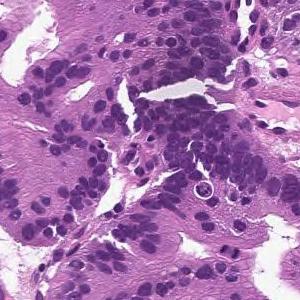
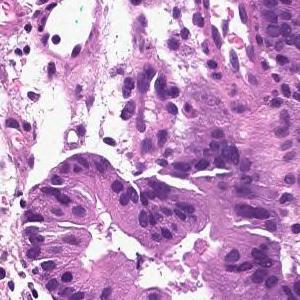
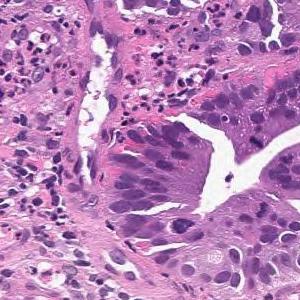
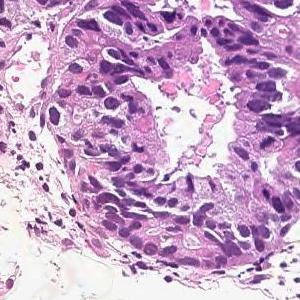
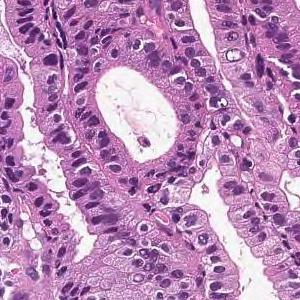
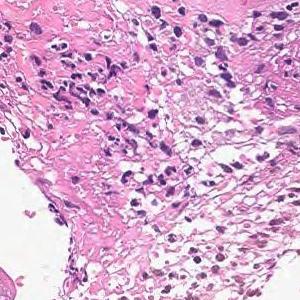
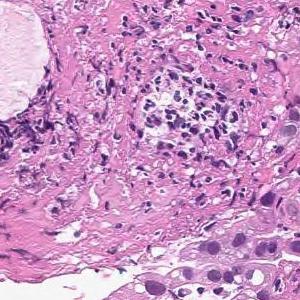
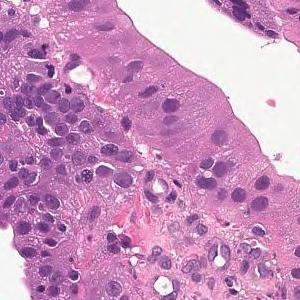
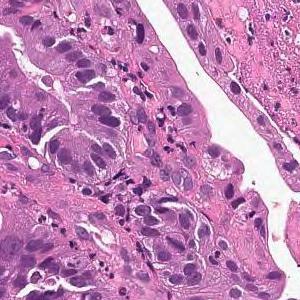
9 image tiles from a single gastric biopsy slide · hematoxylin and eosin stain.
Diagnostic report for the slide these tiles come from. Both the report and the diagnosis are for the whole slide: these tiles need not show every feature named, and some of the tissue shown may not be tumor.
From the superficial epithelium to the muscularis mucosae, tumor tissue consisting of medium-sized and irregular glandular ducts infiltrating is observed. Well differentiated tubular adenocarcinoma
